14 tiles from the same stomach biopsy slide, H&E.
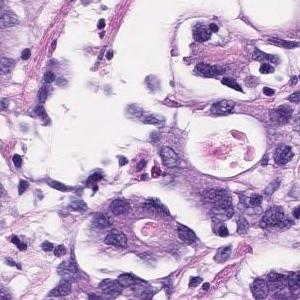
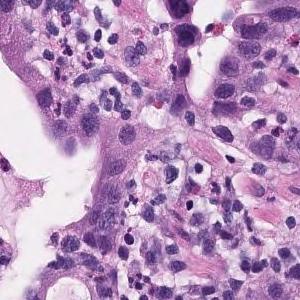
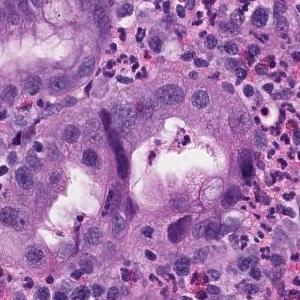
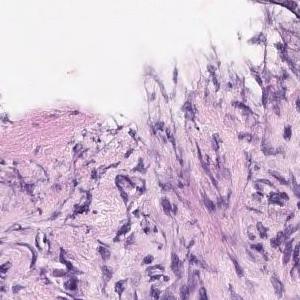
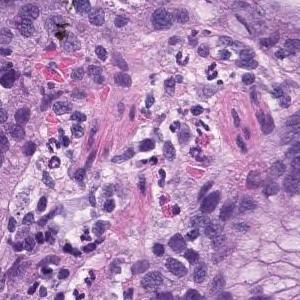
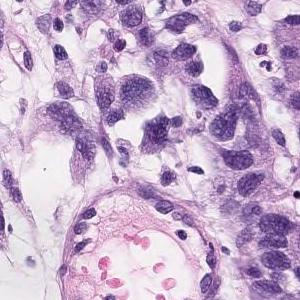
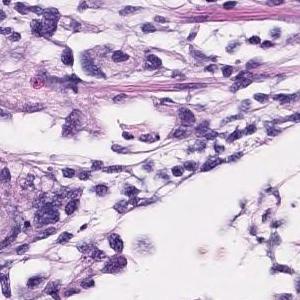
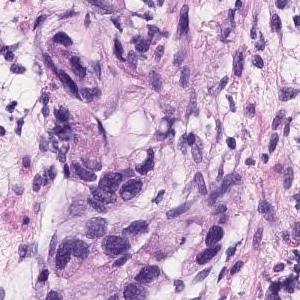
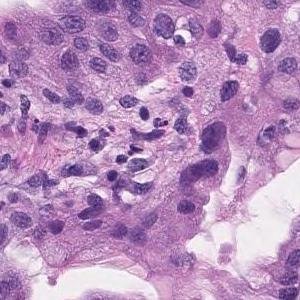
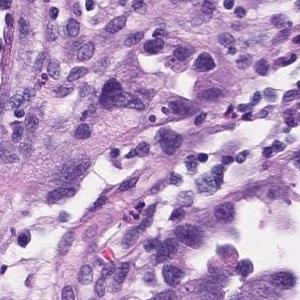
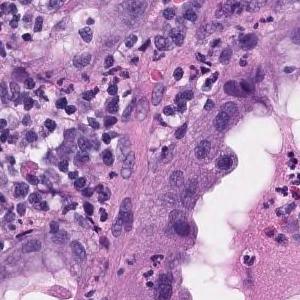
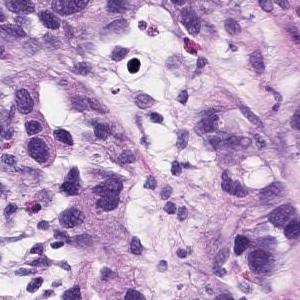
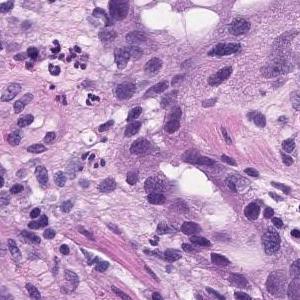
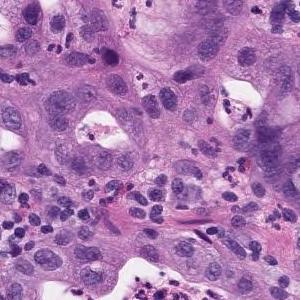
The pathologist's report on the biopsy slide these tiles were taken from. The report and the diagnosis cover the entire slide, so not every feature they name need be visible here, and some tissue shown may not be tumor.
Group 5, Adenocarcinoma. Moderately to poorly differentiated adenocarcinoma
